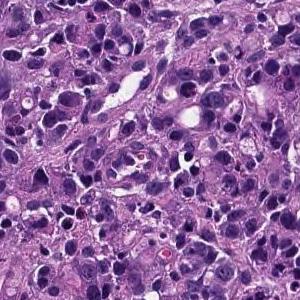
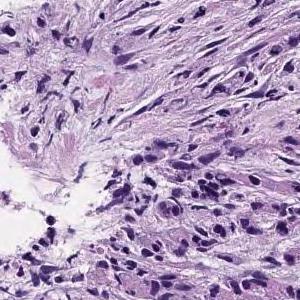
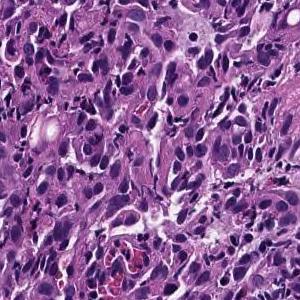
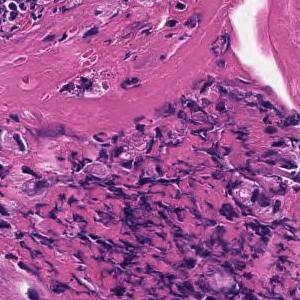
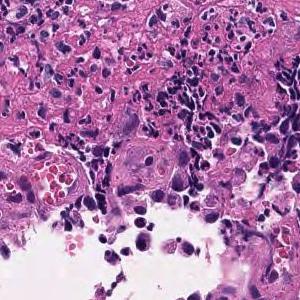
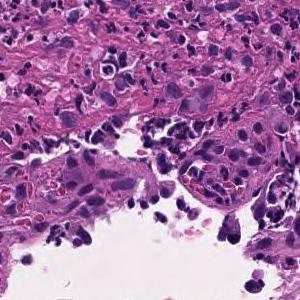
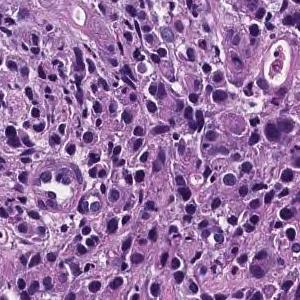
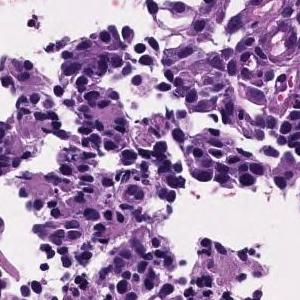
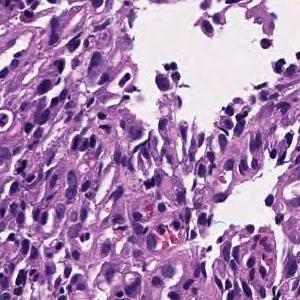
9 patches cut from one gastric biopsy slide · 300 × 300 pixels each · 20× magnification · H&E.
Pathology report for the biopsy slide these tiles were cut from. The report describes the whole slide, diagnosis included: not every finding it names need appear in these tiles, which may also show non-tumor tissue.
The superficial epithelium shows a large sheet-like shape, and some tumor tissue infiltrates with small irregular ducts. Poorly differentiated adenocarcinoma, solid-type
Subtype: Poorly differentiated adenocarcinoma, solid type, a category of the Japanese Classification of Gastric Carcinoma; in the WHO 2019 classification it is tubular adenocarcinoma, poorly differentiated.
